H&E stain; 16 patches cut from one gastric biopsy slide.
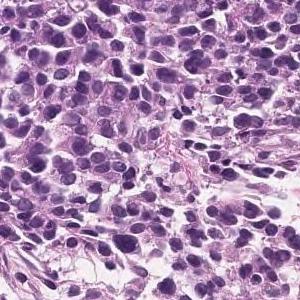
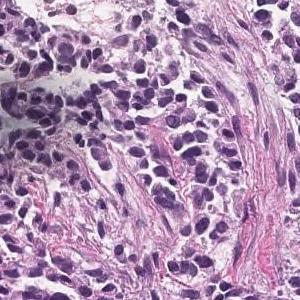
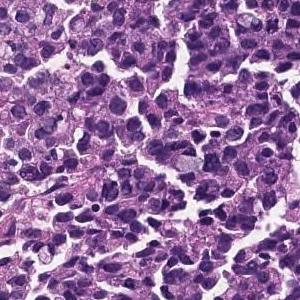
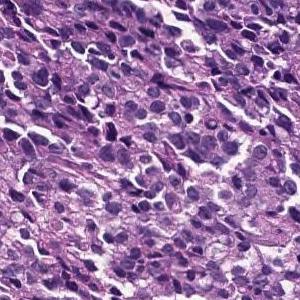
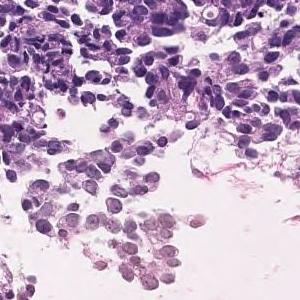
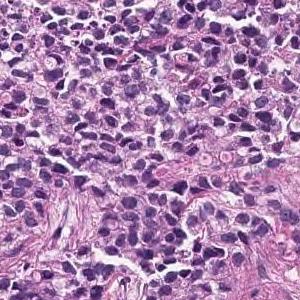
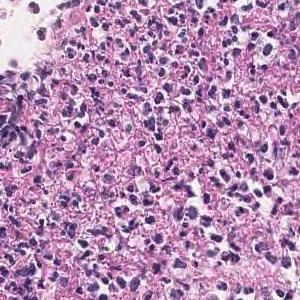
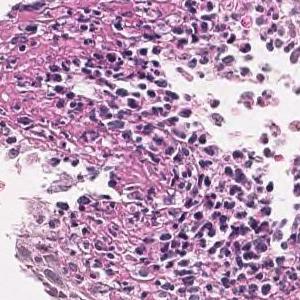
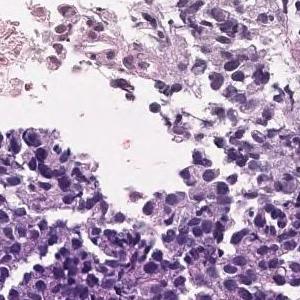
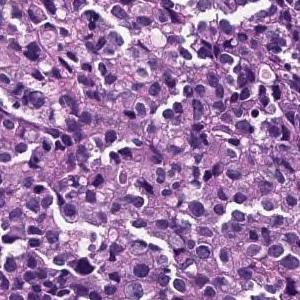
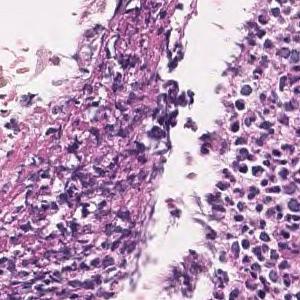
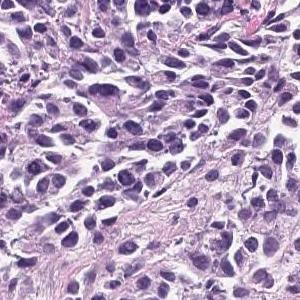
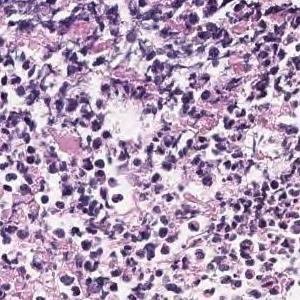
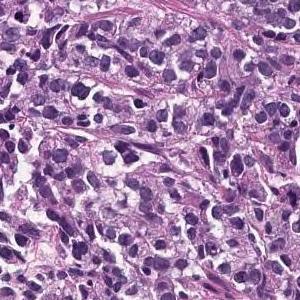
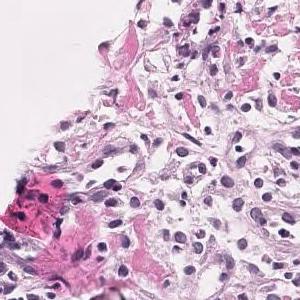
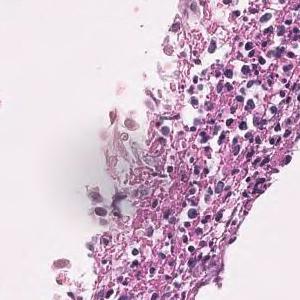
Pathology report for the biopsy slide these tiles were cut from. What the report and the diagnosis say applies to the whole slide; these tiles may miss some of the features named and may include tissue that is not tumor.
The superficial epithelium shows a large sheet-like shape, and some tumor tissue infiltrates with small irregular ducts. Poorly differentiated adenocarcinoma, solid-type
Histologic type: Poorly differentiated adenocarcinoma, solid type, a category of the Japanese Classification of Gastric Carcinoma; in the WHO 2019 classification it is tubular adenocarcinoma, poorly differentiated.
